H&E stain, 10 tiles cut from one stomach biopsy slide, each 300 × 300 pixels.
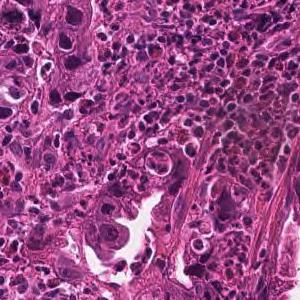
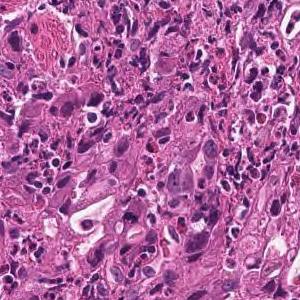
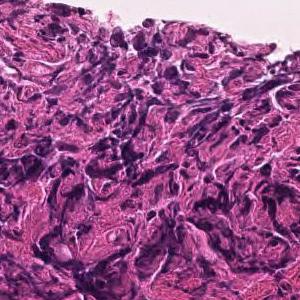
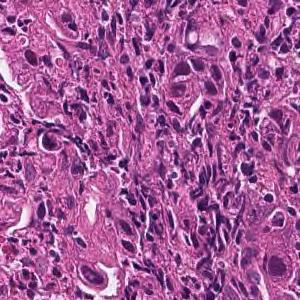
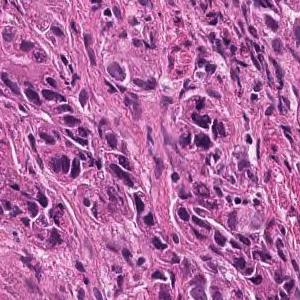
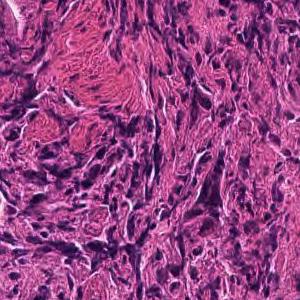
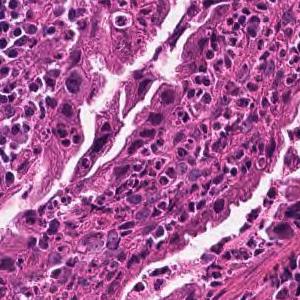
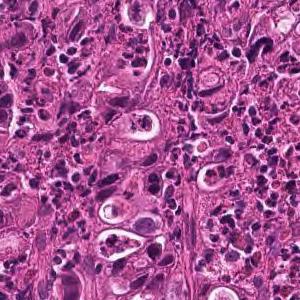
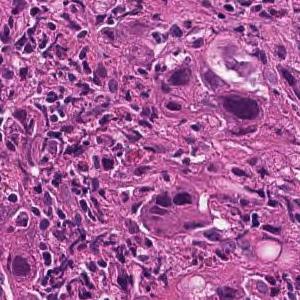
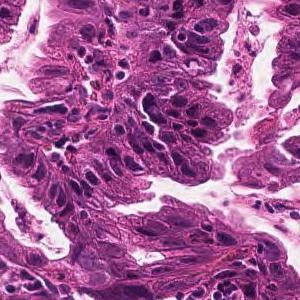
Pathology report for the biopsy slide these tiles were cut from. What the report and the diagnosis say applies to the whole slide; these tiles may miss some of the features named and may include tissue that is not tumor.
Medium to small, irregular glandular ducts are formed in the superficial epithelium, and in some cases, the glandular ducts are fused to show solid alveolar lesions and infiltrating tumor tissue is observed. Moderately to poorly differentiated adenocarcinoma.
